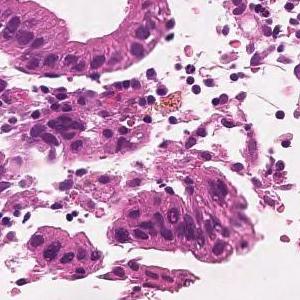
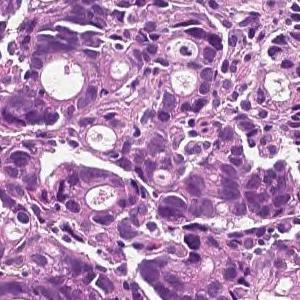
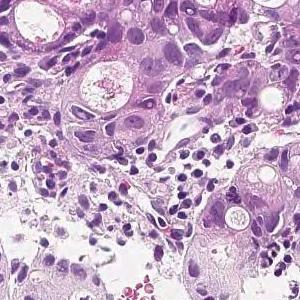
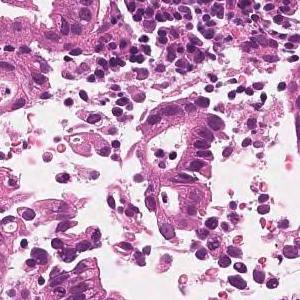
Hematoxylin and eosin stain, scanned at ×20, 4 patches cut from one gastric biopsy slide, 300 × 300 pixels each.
Report on the slide these tiles come from. Both the report and the diagnosis are for the whole slide: these tiles need not show every feature named, and some of the tissue shown may not be tumor.
On the superficial epithelium, tumor tissue is found in which medium-sized irregular gland ducts fuse with each other and infiltrate. moderately differentiated tubular adenocarcinoma
